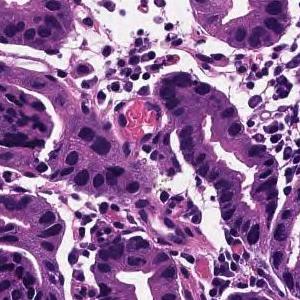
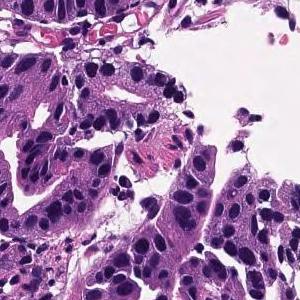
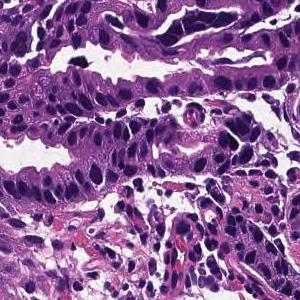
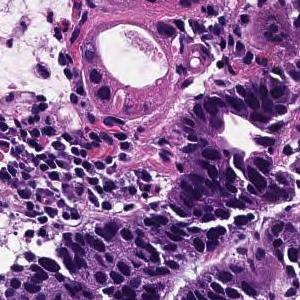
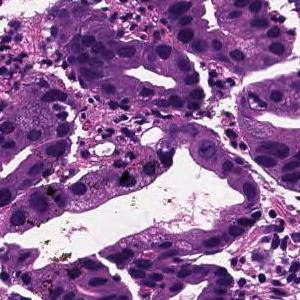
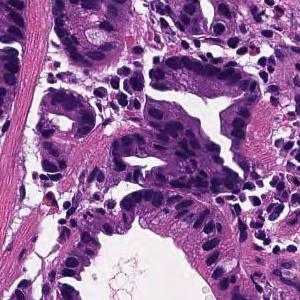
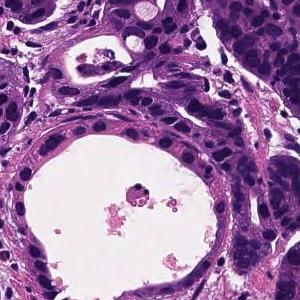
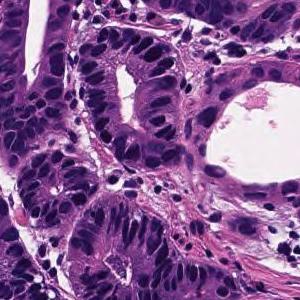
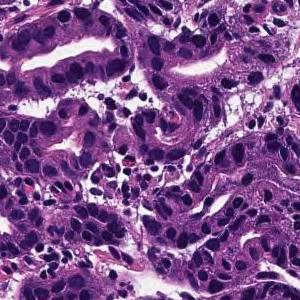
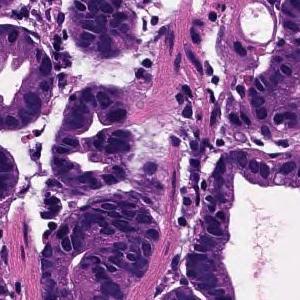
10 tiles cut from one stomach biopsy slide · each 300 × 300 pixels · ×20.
The pathologist's report on the biopsy slide these tiles were taken from. The findings and the diagnosis refer to the entire slide; these tiles show only part of it, possibly with non-tumor tissue, and may not show every feature named.
From the superficial epithelium to the muscularis mucosae, tumor tissue consisting of medium-sized and irregular glandular ducts infiltrating is observed. Well differentiated tubular adenocarcinoma
